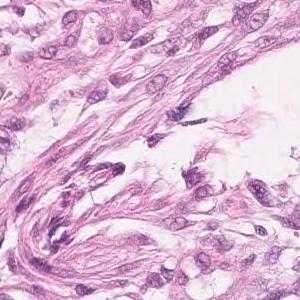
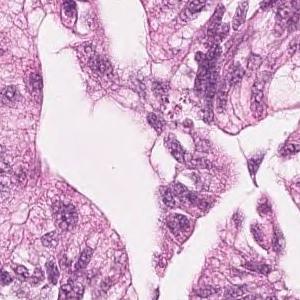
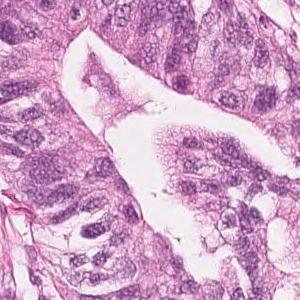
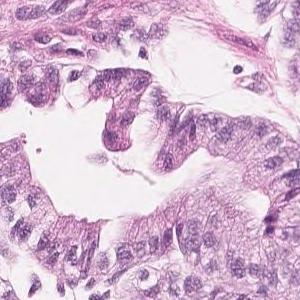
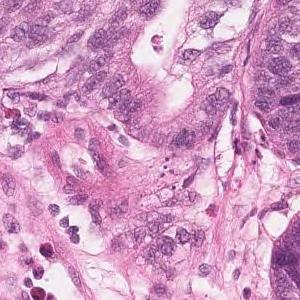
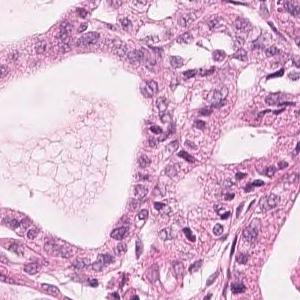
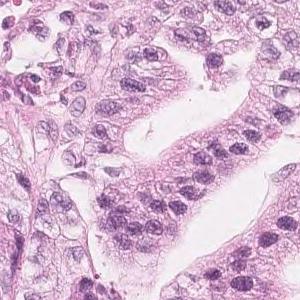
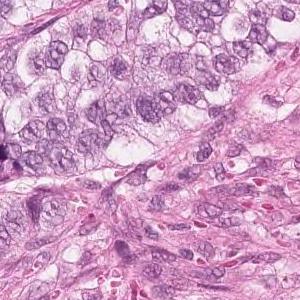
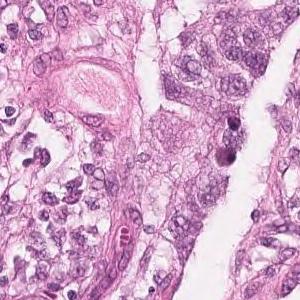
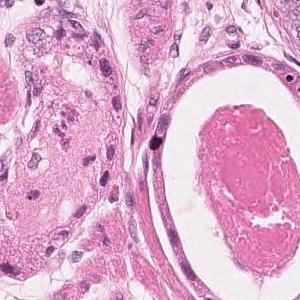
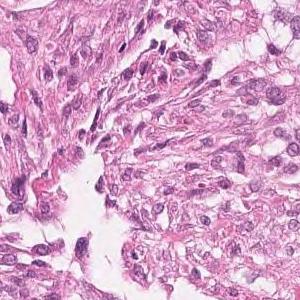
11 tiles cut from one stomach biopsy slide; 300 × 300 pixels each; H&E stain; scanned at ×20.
Diagnostic report for the slide these tiles come from. The findings and the diagnosis refer to the entire slide; these tiles show only part of it, possibly with non-tumor tissue, and may not show every feature named.
Highly columnar epithelium with disordered nuclear localization proliferates showing fusion ductal construction. moderately differentiated tubular adenocarcinoma
